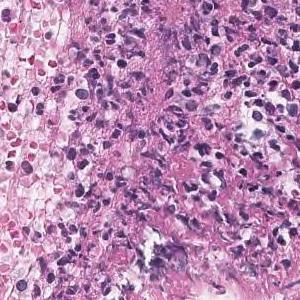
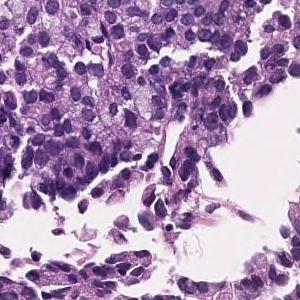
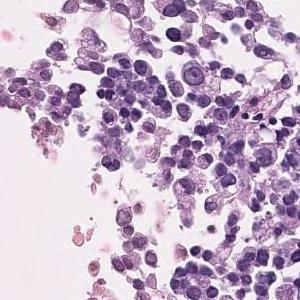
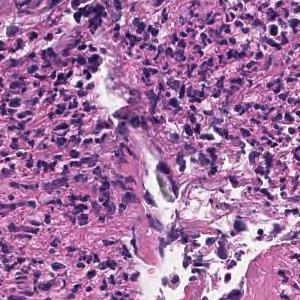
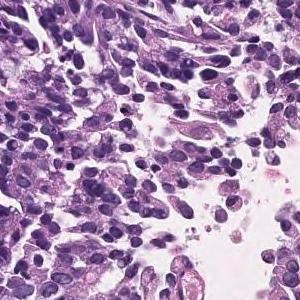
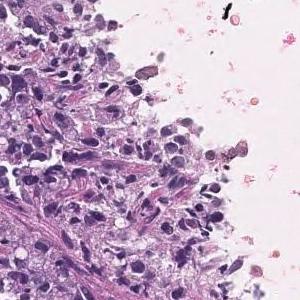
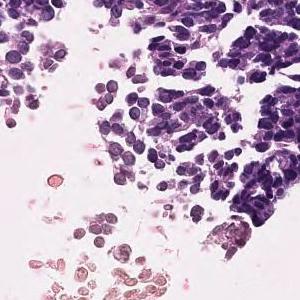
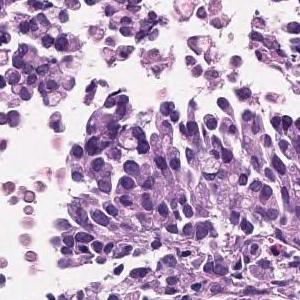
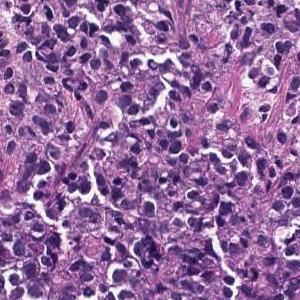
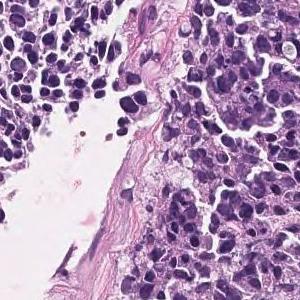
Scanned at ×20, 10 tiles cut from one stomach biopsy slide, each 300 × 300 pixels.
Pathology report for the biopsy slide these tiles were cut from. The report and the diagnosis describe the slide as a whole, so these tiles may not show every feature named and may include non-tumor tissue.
The superficial epithelium shows a large sheet-like shape, and some tumor tissue infiltrates with small irregular ducts. Poorly differentiated adenocarcinoma, solid-type
Histologic type: Poorly differentiated adenocarcinoma, solid type (Japanese Classification of Gastric Carcinoma). The WHO 2019 equivalent is tubular adenocarcinoma, poorly differentiated.
